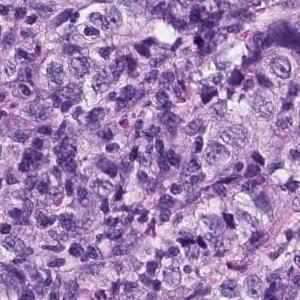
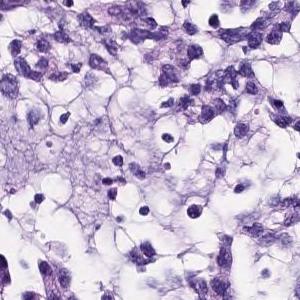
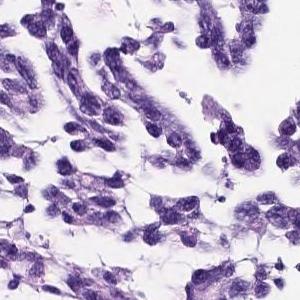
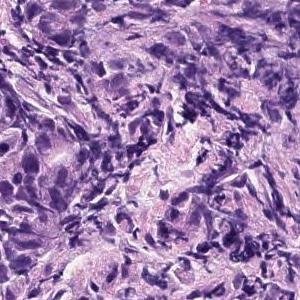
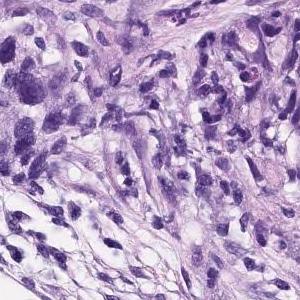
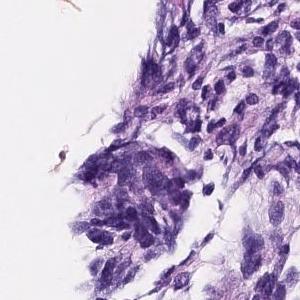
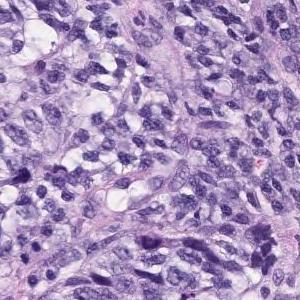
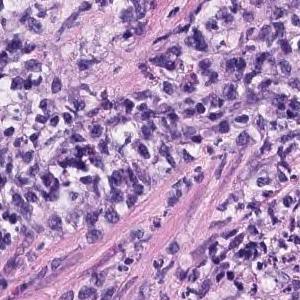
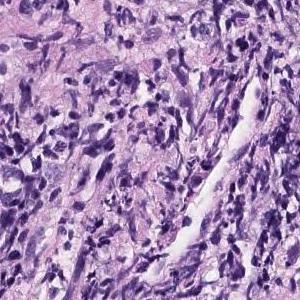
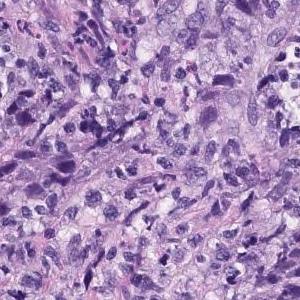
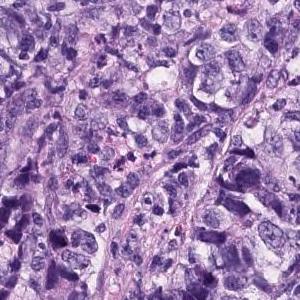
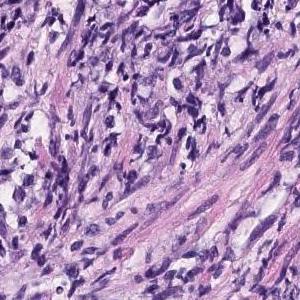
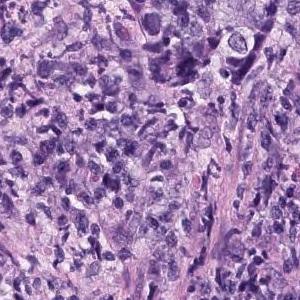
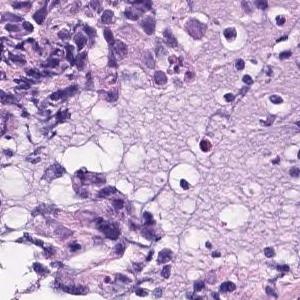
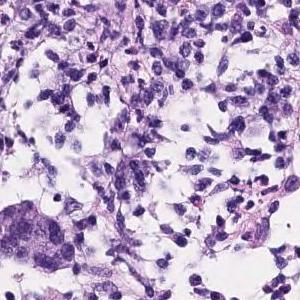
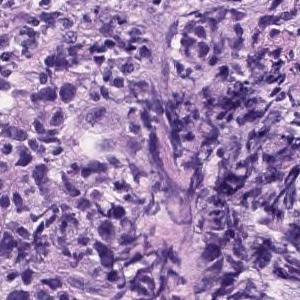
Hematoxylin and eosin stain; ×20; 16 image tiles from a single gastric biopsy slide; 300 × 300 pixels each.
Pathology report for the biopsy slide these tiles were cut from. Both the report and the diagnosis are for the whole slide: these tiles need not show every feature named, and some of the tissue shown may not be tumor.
The superficial epithelium shows a large sheet-like shape, and some tumor tissue infiltrates with small irregular ducts. Poorly differentiated adenocarcinoma, solid-type
Histologic type: Poorly differentiated adenocarcinoma, solid type, a category of the Japanese Classification of Gastric Carcinoma; in the WHO 2019 classification it is tubular adenocarcinoma, poorly differentiated.
